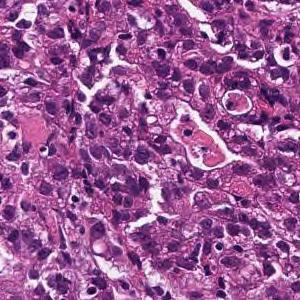
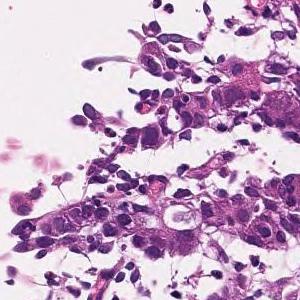
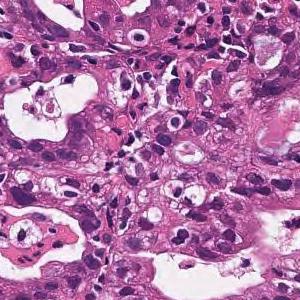
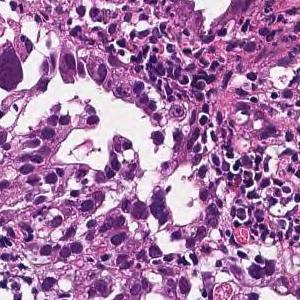
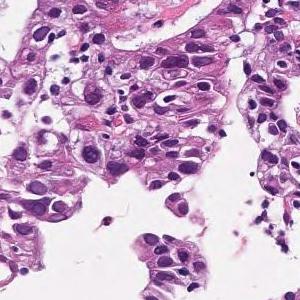
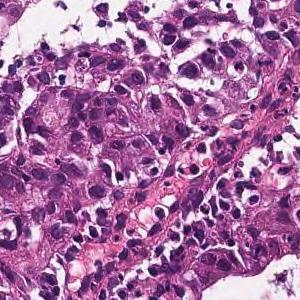
6 patches cut from one gastric biopsy slide; 300 × 300 pixels each.
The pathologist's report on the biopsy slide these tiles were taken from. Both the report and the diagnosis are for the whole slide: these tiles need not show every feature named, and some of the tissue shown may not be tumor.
Tumor tissue consisting of cord-like or small, irregular glandular ducts fused and infiltrated is observed in the superficial epithelium. Poorly differentiated adenocarcinoma, non-solid type
"Non-solid type" is a category of the Japanese Classification of Gastric Carcinoma.
